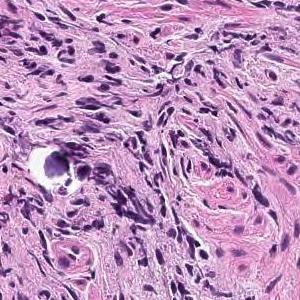
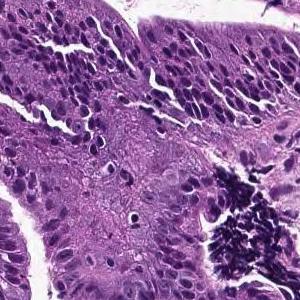
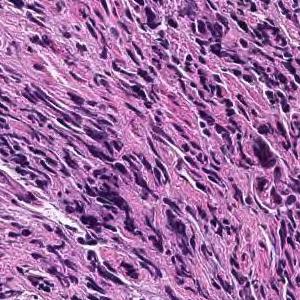
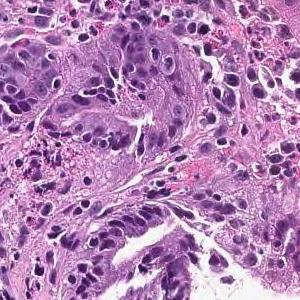
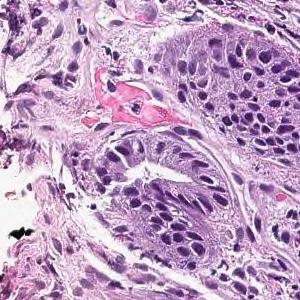
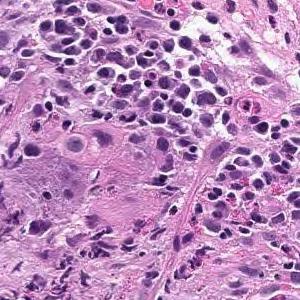
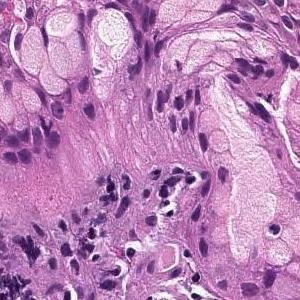
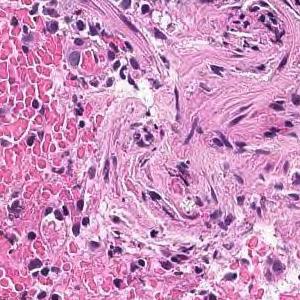
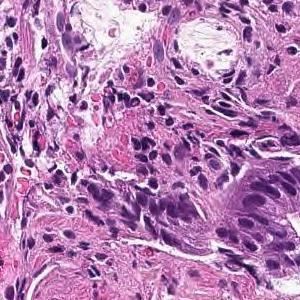
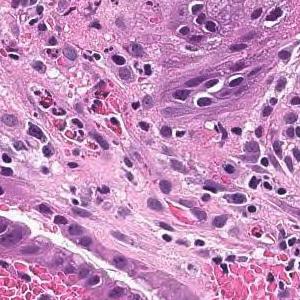
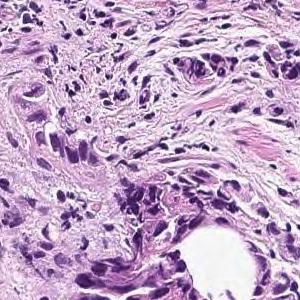
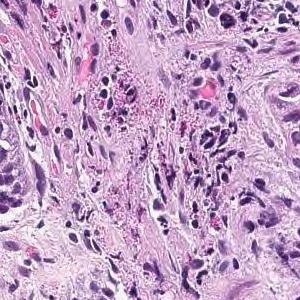
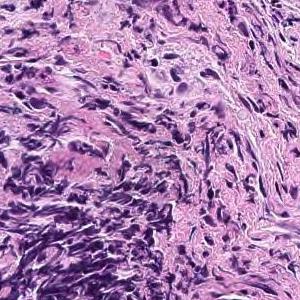
20× magnification; H&E stain; 13 tiles from the same stomach biopsy slide; each 300 × 300 pixels.
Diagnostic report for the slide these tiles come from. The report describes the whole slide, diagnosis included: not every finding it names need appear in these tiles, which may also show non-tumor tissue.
In the superficial epithelium, tumor tissue that invades by forming medium-sized to small, irregular ducts is observed. moderately differentiated tubular adenocarcinoma.
